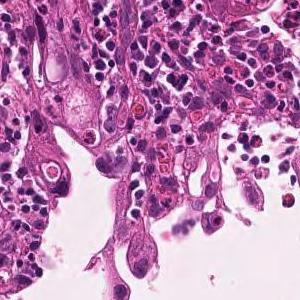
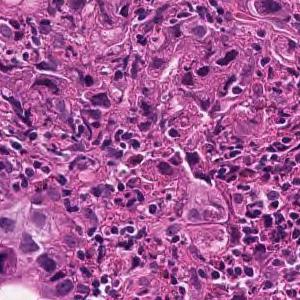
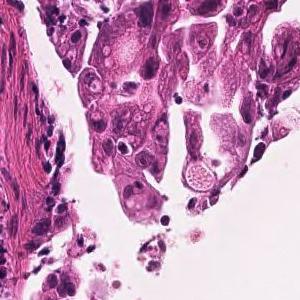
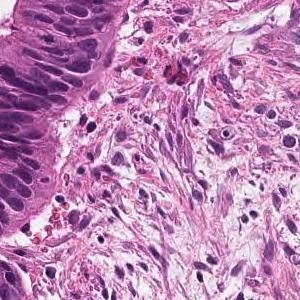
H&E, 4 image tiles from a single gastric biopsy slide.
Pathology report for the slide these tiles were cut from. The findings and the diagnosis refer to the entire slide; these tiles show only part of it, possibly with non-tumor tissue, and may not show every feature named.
Medium to small, irregular glandular ducts are formed in the superficial epithelium, and in some cases, the glandular ducts are fused to show solid alveolar lesions and infiltrating tumor tissue is observed. Moderately to poorly differentiated adenocarcinoma.
